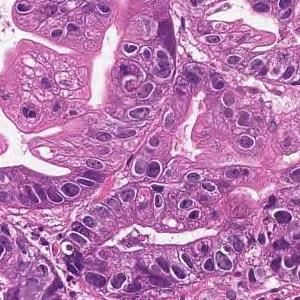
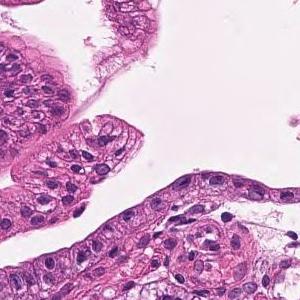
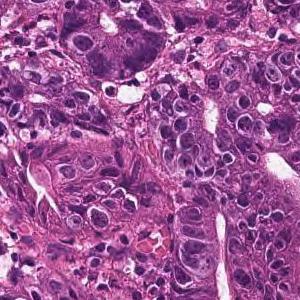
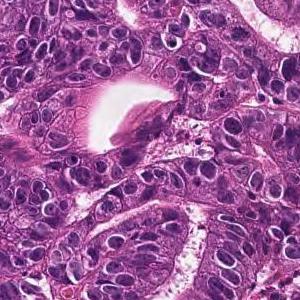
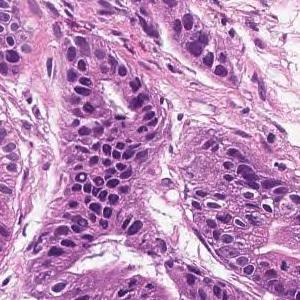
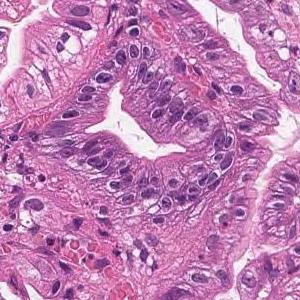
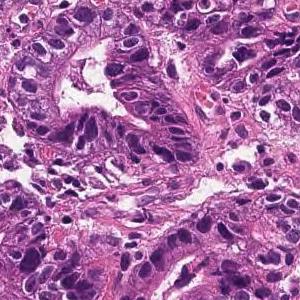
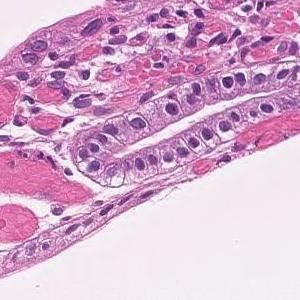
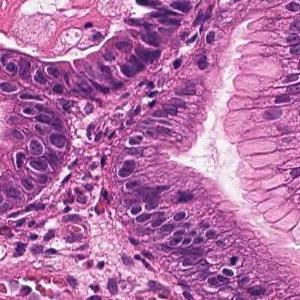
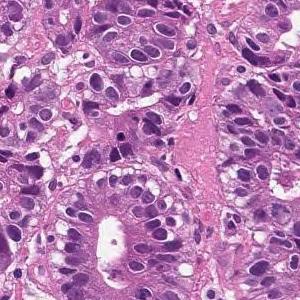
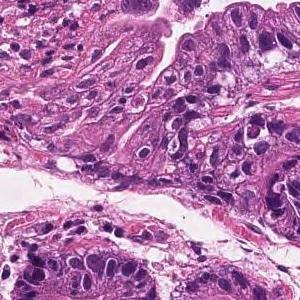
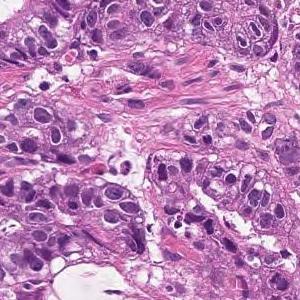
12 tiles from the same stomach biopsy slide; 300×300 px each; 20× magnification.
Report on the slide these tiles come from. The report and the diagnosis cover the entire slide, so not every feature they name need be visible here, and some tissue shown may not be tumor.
In the superficial epithelium, tumor tissue that invades by forming medium-sized to small, irregular ducts is observed. Well differentiated tubular adenocarcinoma.
